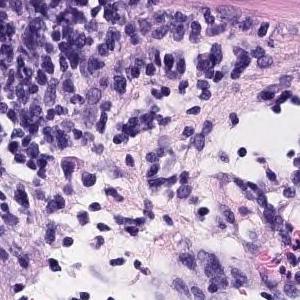
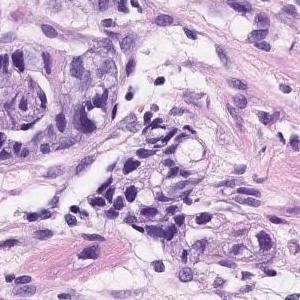
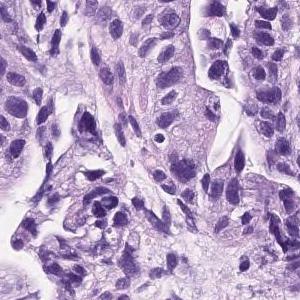
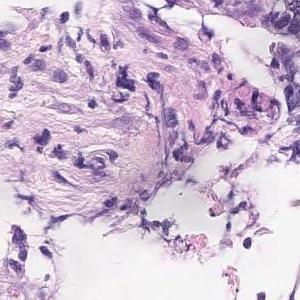
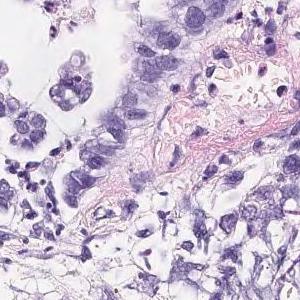
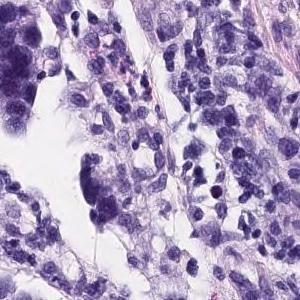
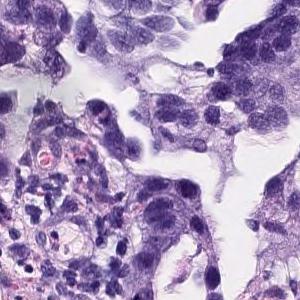
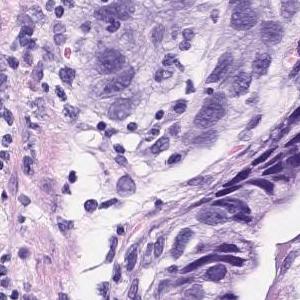
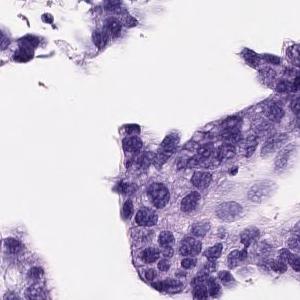
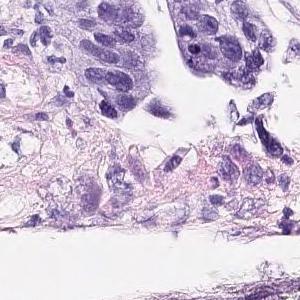
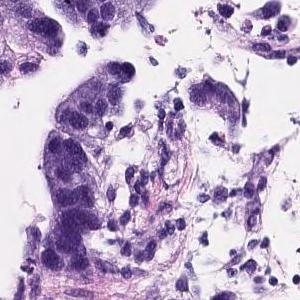
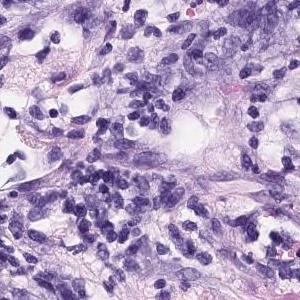
12 patches cut from one gastric biopsy slide · 300×300 px each · ×20 · H&E.
Report on the slide these tiles come from. The report and the diagnosis cover the entire slide, so not every feature they name need be visible here, and some tissue shown may not be tumor.
On the superficial epithelium, tumor tissue consisting of medium to small irregular tubules partially fused and proliferated is observed. moderately differentiated tubular adenocarcinoma
